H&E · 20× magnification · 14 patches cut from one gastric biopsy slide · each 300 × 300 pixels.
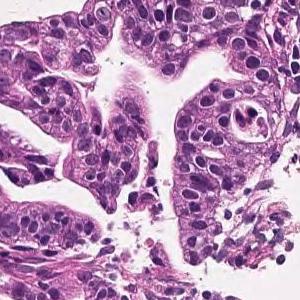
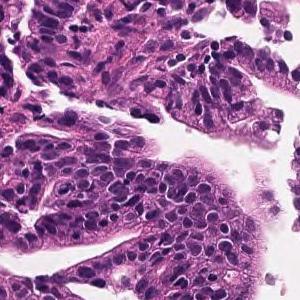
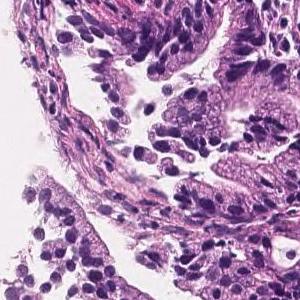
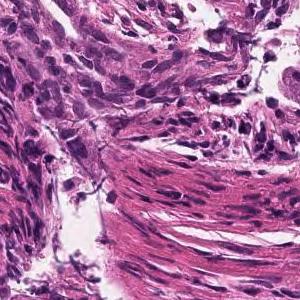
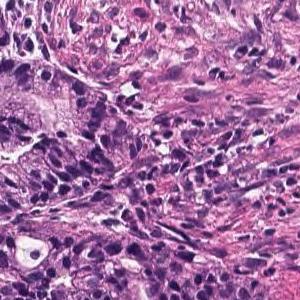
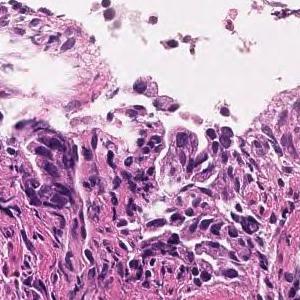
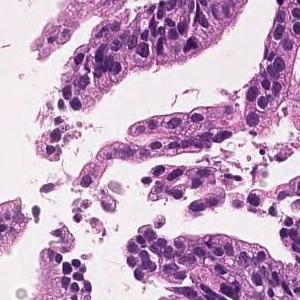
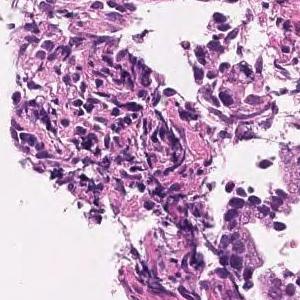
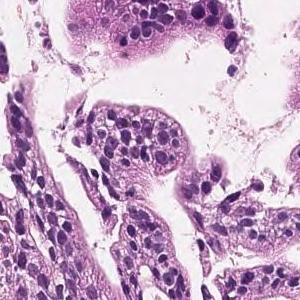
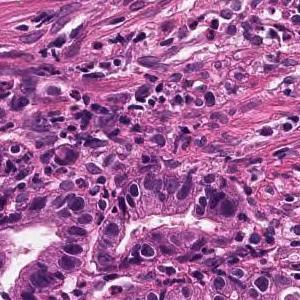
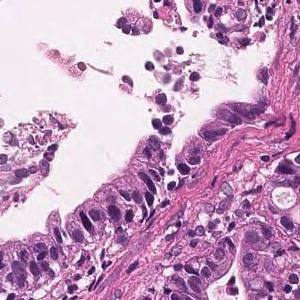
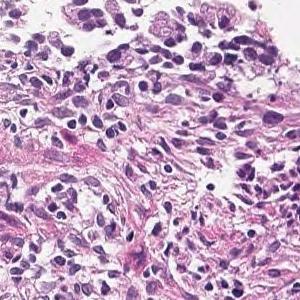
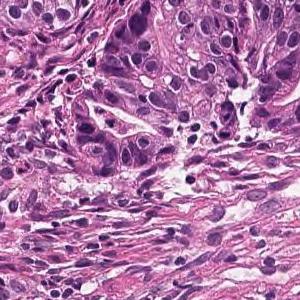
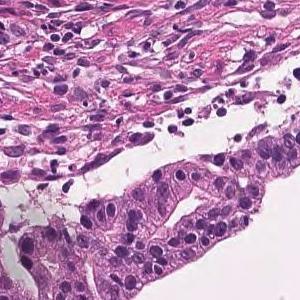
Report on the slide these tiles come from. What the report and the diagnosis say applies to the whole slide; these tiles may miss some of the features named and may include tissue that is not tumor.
Tumor cells are large, highly columnar, large club-shaped nuclei, and are associated with chromatin aggregation. Papillary adenocarcinoma.
